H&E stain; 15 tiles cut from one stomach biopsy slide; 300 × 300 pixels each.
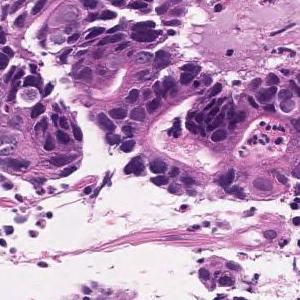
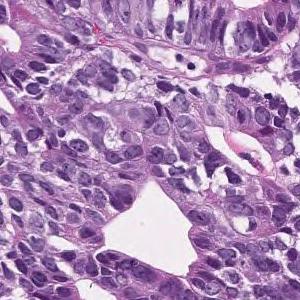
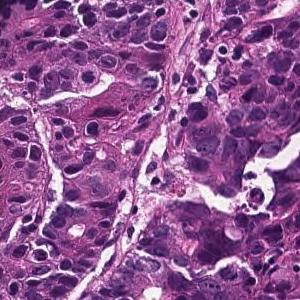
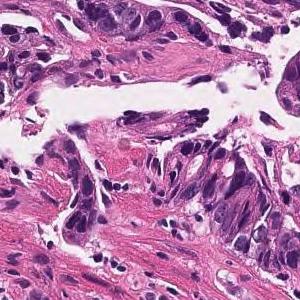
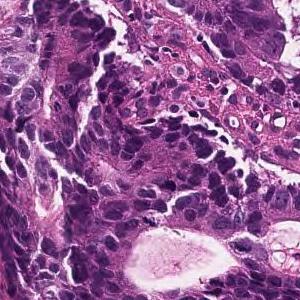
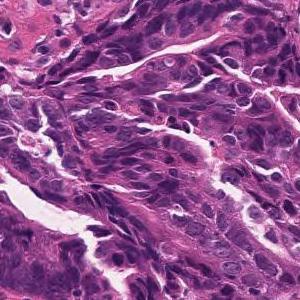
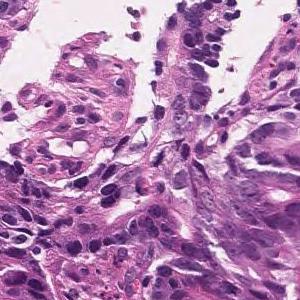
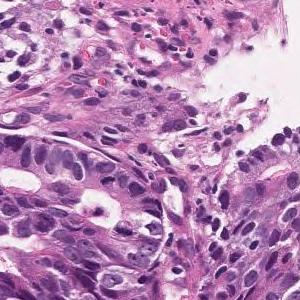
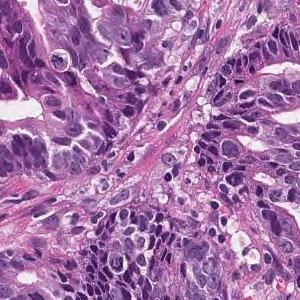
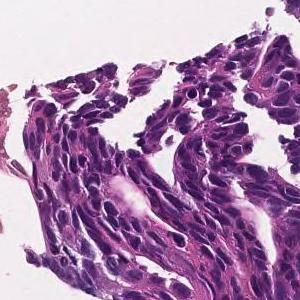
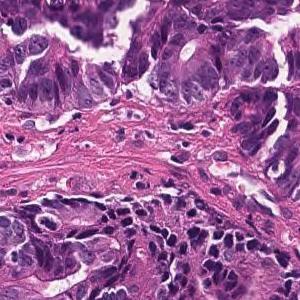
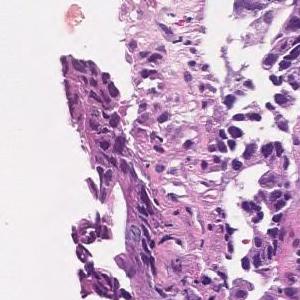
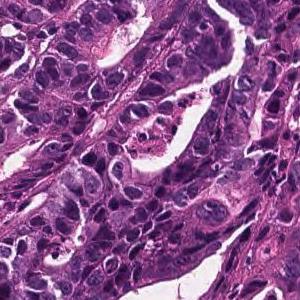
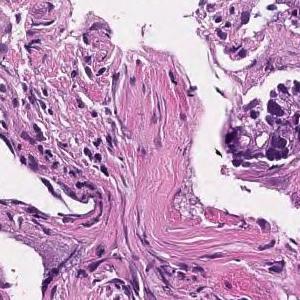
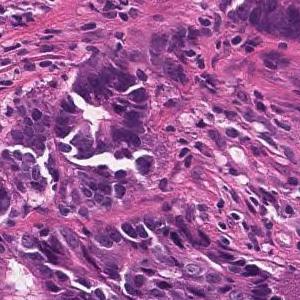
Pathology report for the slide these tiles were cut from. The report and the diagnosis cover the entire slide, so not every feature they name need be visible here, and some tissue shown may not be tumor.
In the superficial epithelium, tumor tissue that invades by forming medium-sized to small, irregular ducts is observed. moderately differentiated tubular adenocarcinoma.
